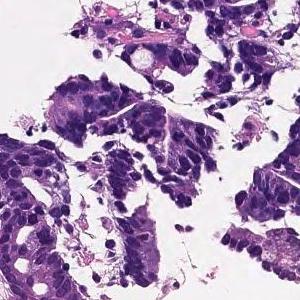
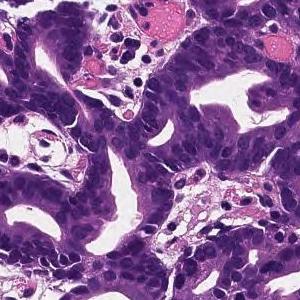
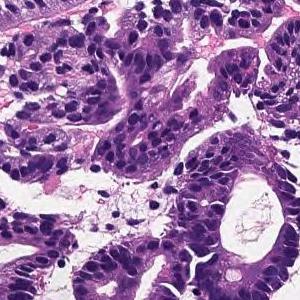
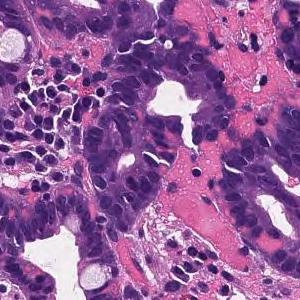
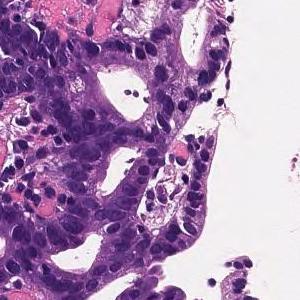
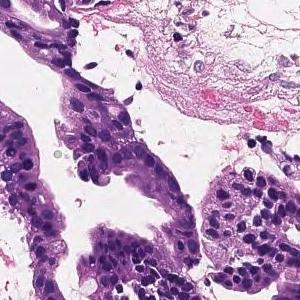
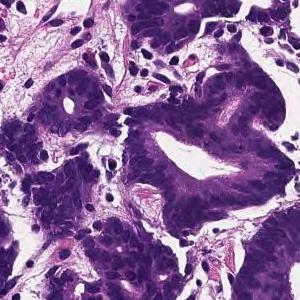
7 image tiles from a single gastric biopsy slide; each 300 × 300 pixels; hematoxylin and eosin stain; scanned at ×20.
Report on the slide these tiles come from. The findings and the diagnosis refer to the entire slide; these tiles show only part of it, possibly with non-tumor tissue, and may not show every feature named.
On the superficial epithelium, tumor tissue is found in which medium-sized irregular gland ducts fuse with each other and infiltrate. moderately differentiated tubular adenocarcinoma
